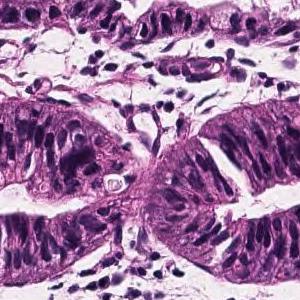
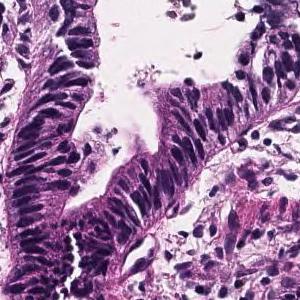
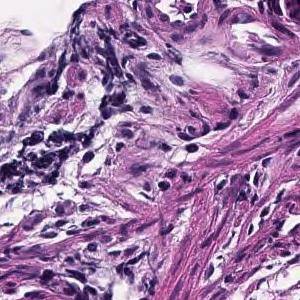
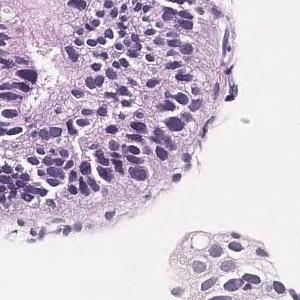
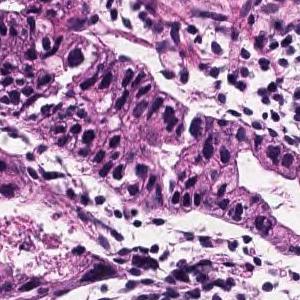
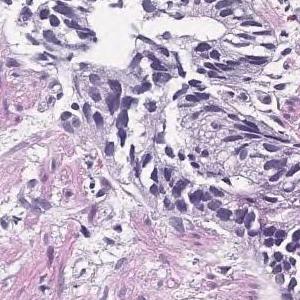
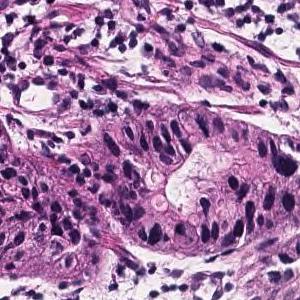
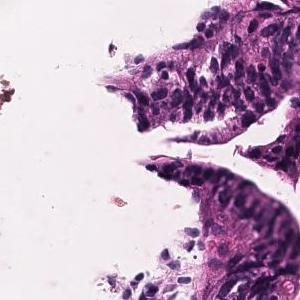
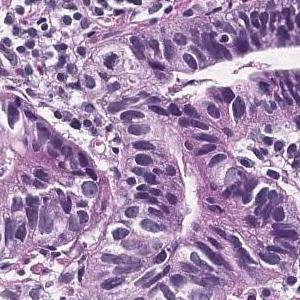
×20 · H&E stain · 9 tiles cut from one stomach biopsy slide · 300×300 px each.
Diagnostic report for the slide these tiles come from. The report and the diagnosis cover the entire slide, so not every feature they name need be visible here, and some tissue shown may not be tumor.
Tumor cells are large, highly columnar, large club-shaped nuclei, and are associated with chromatin aggregation. Papillary adenocarcinoma.
